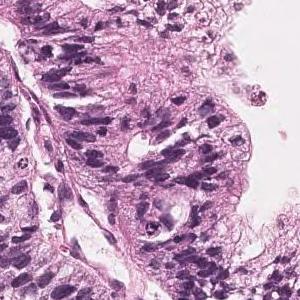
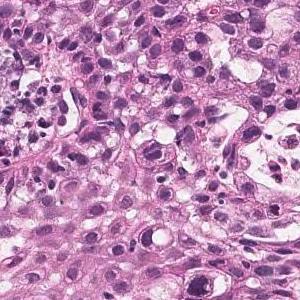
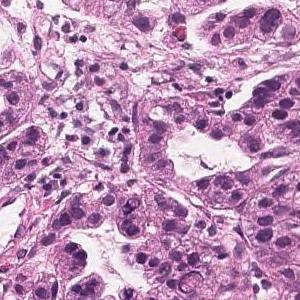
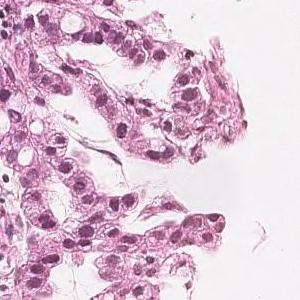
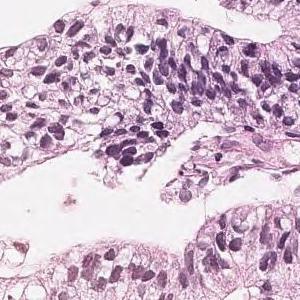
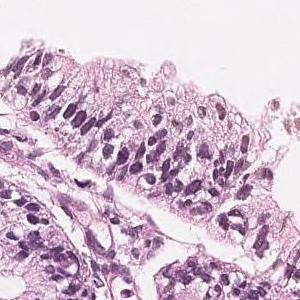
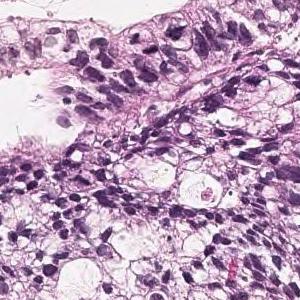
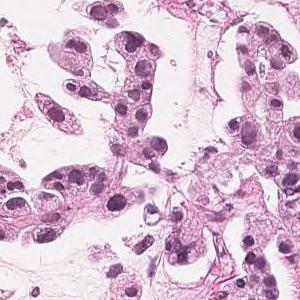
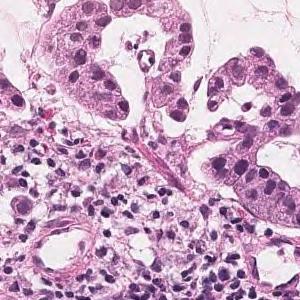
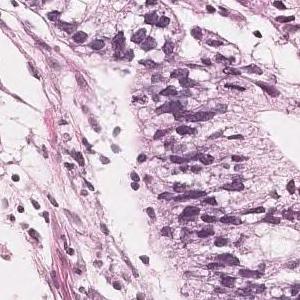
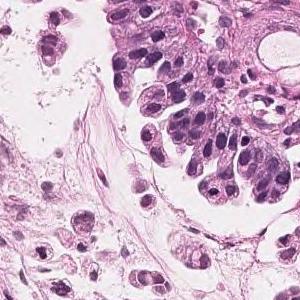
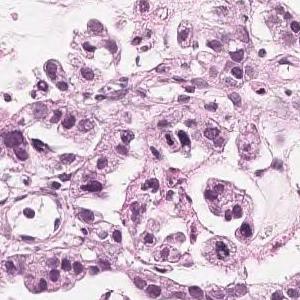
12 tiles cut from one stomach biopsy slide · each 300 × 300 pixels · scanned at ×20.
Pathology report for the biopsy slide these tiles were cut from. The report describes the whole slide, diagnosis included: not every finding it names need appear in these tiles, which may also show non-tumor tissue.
Tumor cells are large, highly columnar, large club-shaped nuclei, and are associated with chromatin aggregation. Papillary adenocarcinoma.
